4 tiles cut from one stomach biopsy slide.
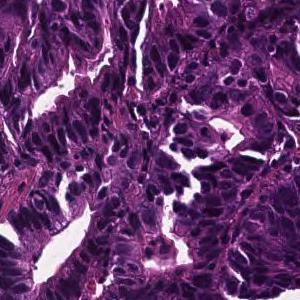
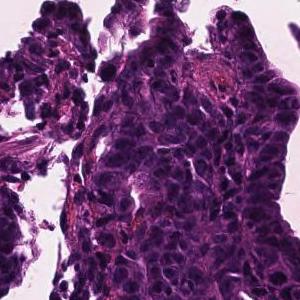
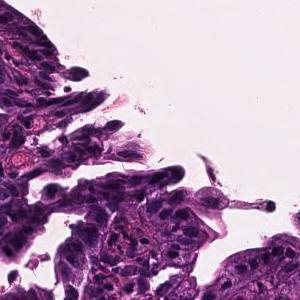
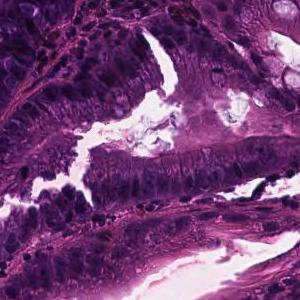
Diagnostic report for the slide these tiles come from. The report and the diagnosis describe the slide as a whole, so these tiles may not show every feature named and may include non-tumor tissue.
In the superficial epithelium, tumor tissue that invades by forming medium-sized to small, irregular ducts is observed. moderately differentiated tubular adenocarcinoma.
